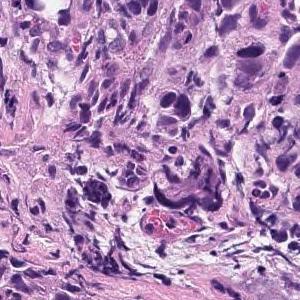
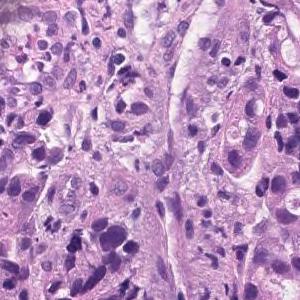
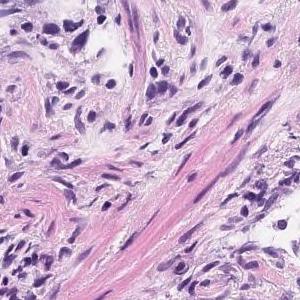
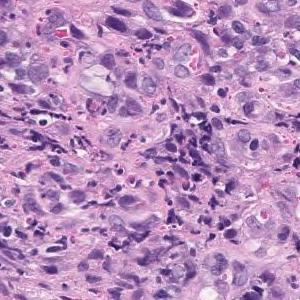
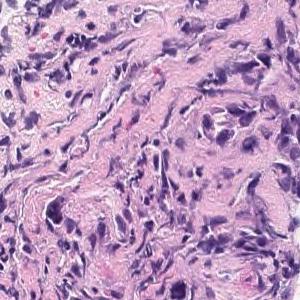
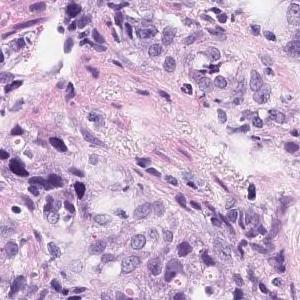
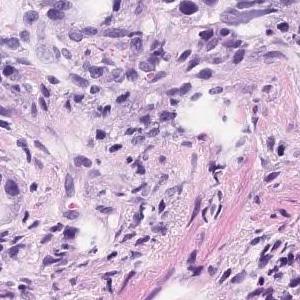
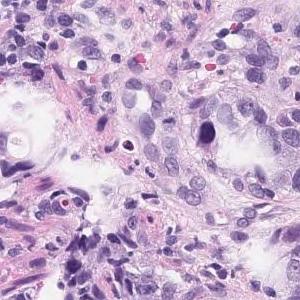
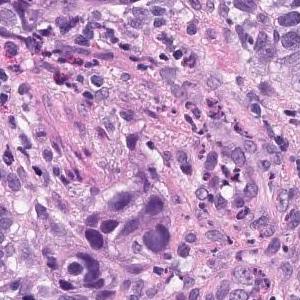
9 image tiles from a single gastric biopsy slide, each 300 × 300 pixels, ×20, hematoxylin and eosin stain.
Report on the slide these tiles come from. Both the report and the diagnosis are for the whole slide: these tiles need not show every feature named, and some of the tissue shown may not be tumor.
Group 5, Moderately differentiated adenocarcinoma
Histological subtype: Moderately differentiated tubular adenocarcinoma.
